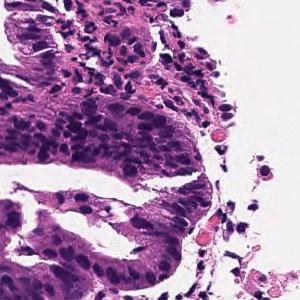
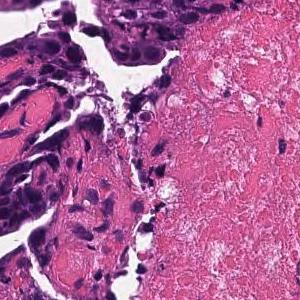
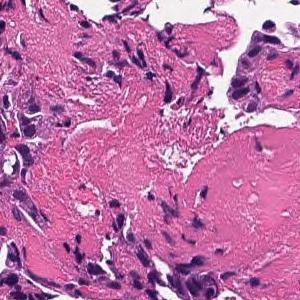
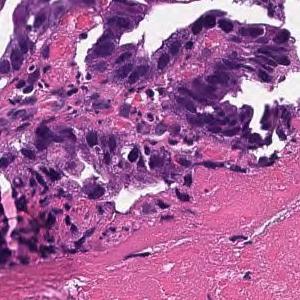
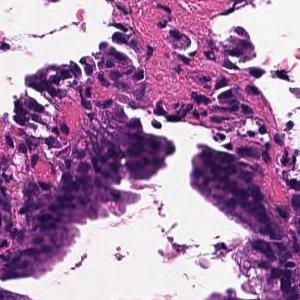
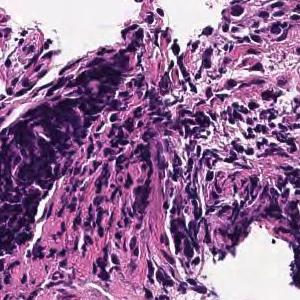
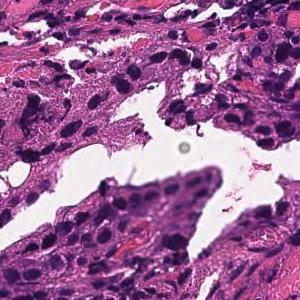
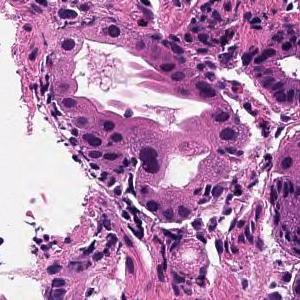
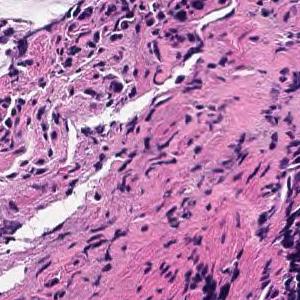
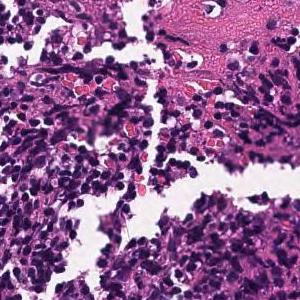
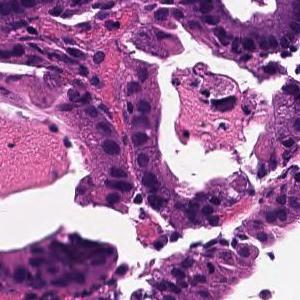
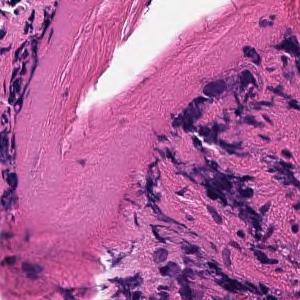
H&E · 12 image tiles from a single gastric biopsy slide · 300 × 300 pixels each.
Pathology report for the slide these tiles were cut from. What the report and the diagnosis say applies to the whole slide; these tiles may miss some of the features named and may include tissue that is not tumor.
Tumor cells are large, highly columnar, large club-shaped nuclei, and are associated with chromatin aggregation. Papillary adenocarcinoma.
